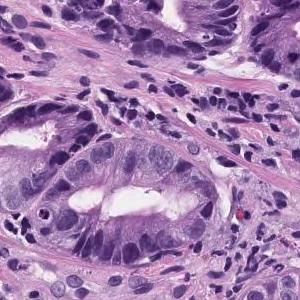
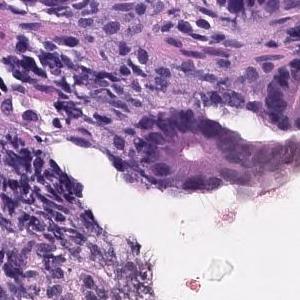
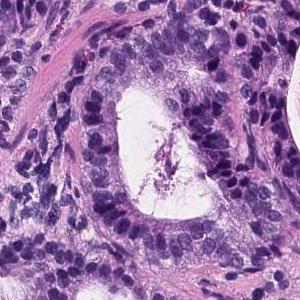
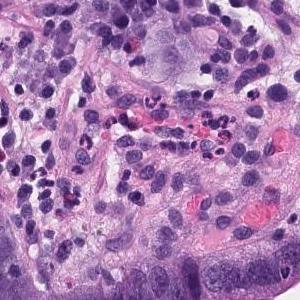
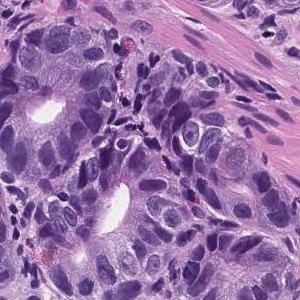
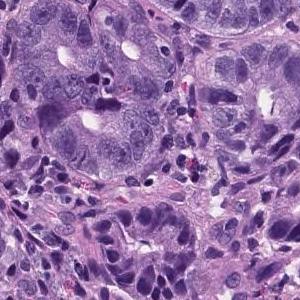
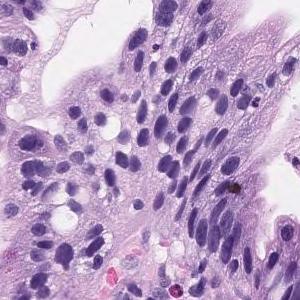
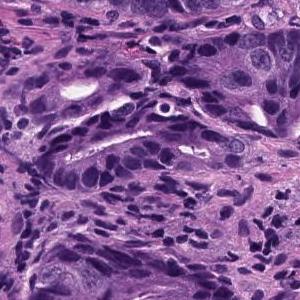
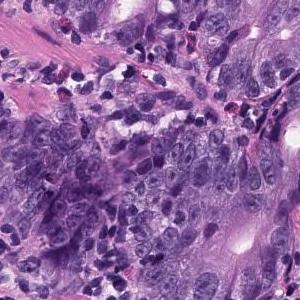
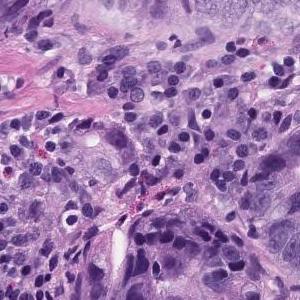
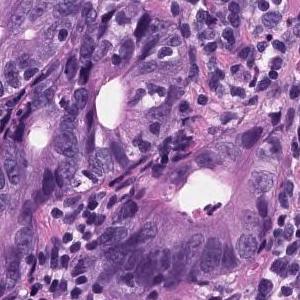
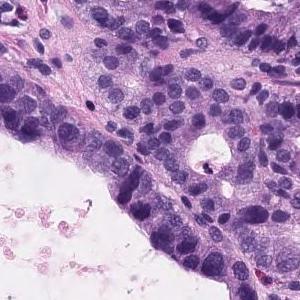
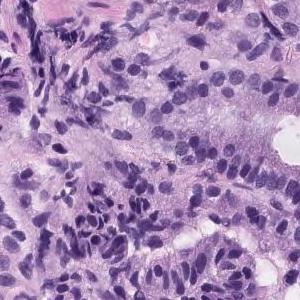
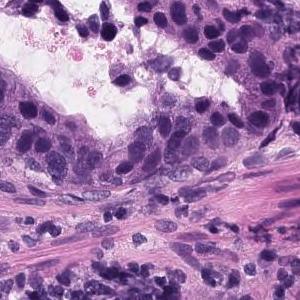
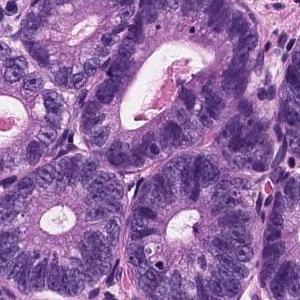
15 tiles cut from one stomach biopsy slide · 300 × 300 pixels each · scanned at ×20.
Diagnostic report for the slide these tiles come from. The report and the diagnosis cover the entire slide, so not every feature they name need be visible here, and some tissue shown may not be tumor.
Tumor tissue consisting of medium-sized and irregular ducts is observed infiltrating in the superficial epithelium. Tumor cells are highly columnar, with nuclei aligned basolaterally and polarized. Well differentiated tubular adenocarcinoma.
